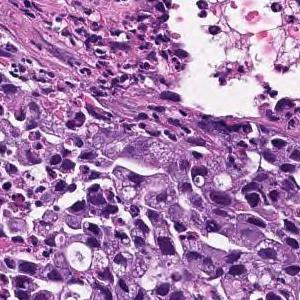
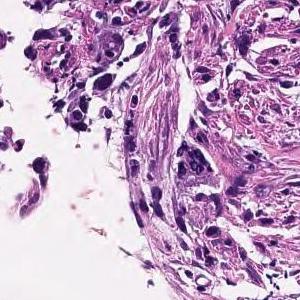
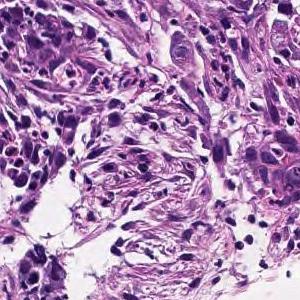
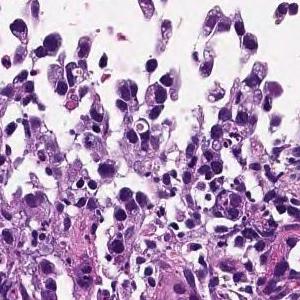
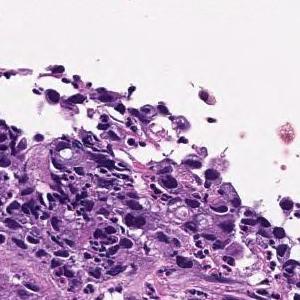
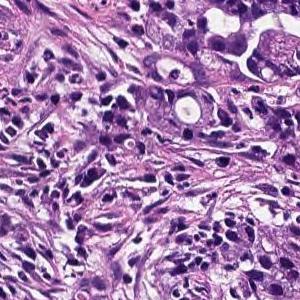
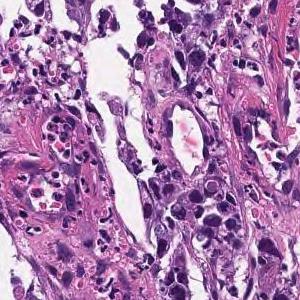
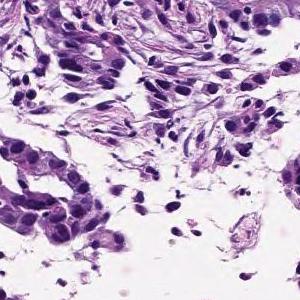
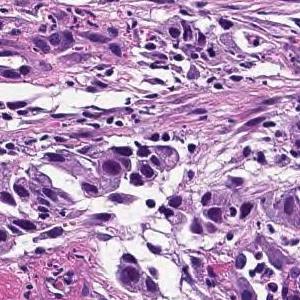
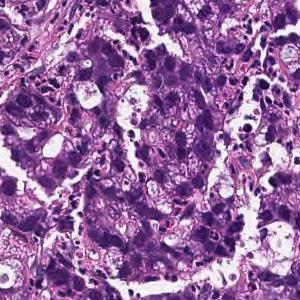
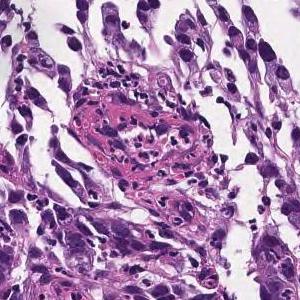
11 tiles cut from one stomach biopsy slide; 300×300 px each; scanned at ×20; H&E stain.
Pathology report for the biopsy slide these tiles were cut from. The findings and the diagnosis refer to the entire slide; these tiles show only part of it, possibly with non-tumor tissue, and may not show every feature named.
Medium to small, irregular glandular ducts are formed in the superficial epithelium, and in some cases, the glandular ducts are fused to show solid alveolar lesions and infiltrating tumor tissue is observed. Moderately to poorly differentiated adenocarcinoma.
